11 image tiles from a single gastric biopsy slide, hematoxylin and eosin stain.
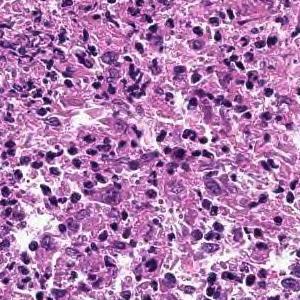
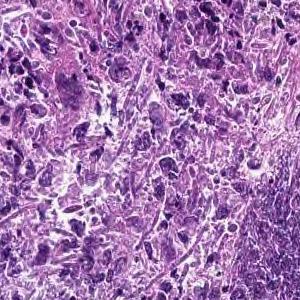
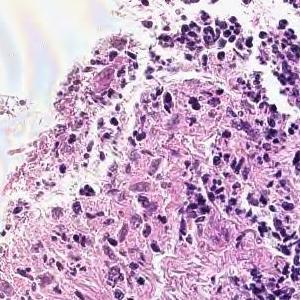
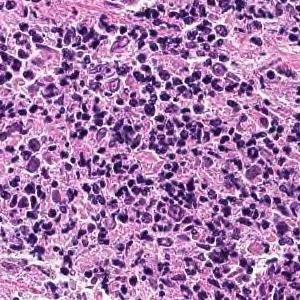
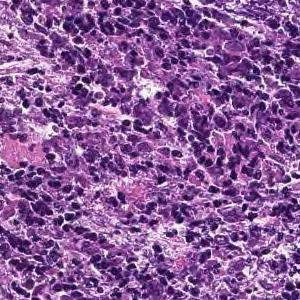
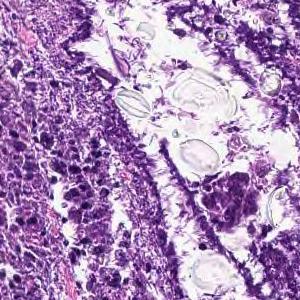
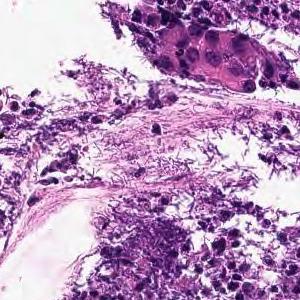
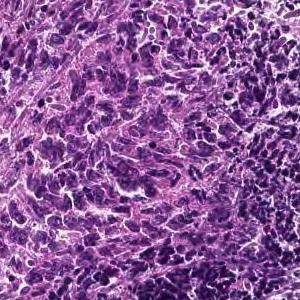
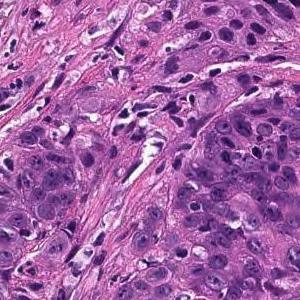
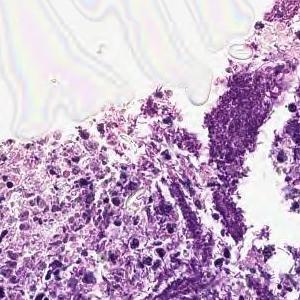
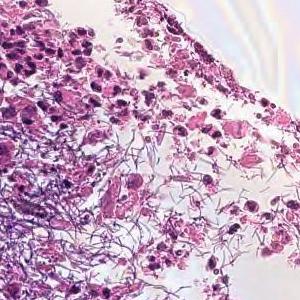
Pathology report for the slide these tiles were cut from. The report describes the whole slide, diagnosis included: not every finding it names need appear in these tiles, which may also show non-tumor tissue.
Cancers with polygonal nuclei do not show glandular formation and are densely, in part, cord-like and proliferate. Poorly differentiated adenocarcinoma
Subtype: Poorly differentiated adenocarcinoma, non-solid type.
"Non-solid type" is a category of the Japanese Classification of Gastric Carcinoma.
